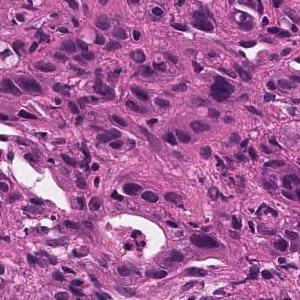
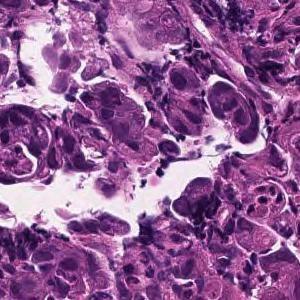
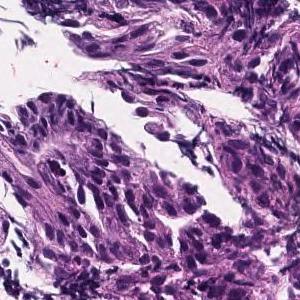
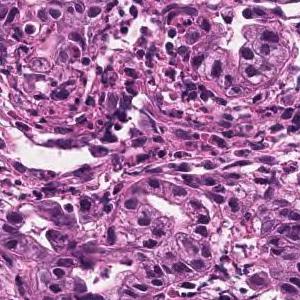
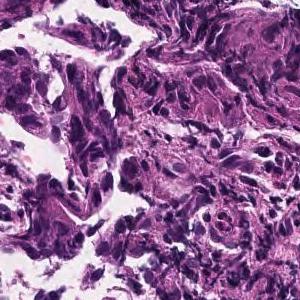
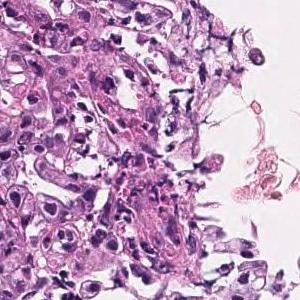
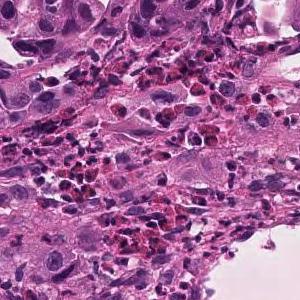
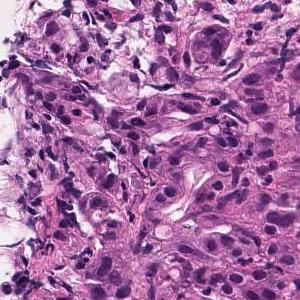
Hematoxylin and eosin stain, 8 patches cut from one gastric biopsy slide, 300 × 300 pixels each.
Diagnostic report for the slide these tiles come from. The findings and the diagnosis refer to the entire slide; these tiles show only part of it, possibly with non-tumor tissue, and may not show every feature named.
Tumor tissue consisting of medium-sized, cord-like or irregular glandular infiltration is observed in the superficial epithelium. Poorly differentiated adenocarcinoma, non-solid type or moderately differentiated tubular adenocarcinoma
The term "non-solid type" comes from the Japanese Classification of Gastric Carcinoma.
